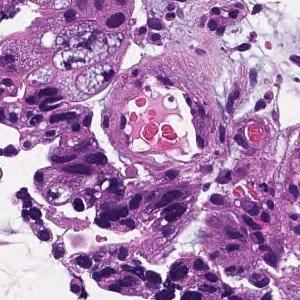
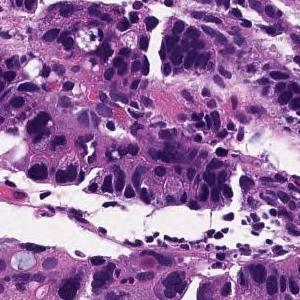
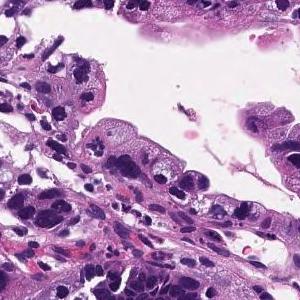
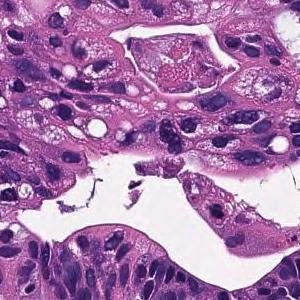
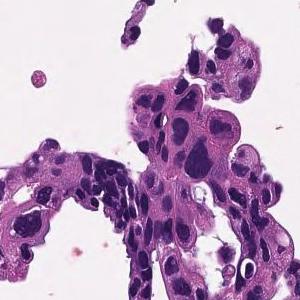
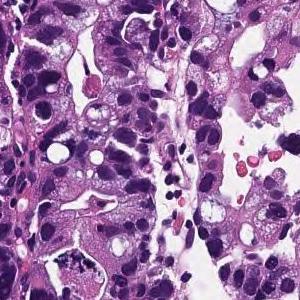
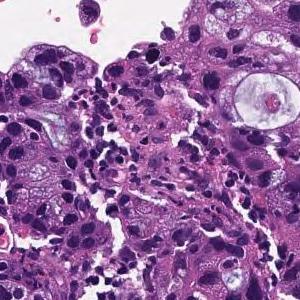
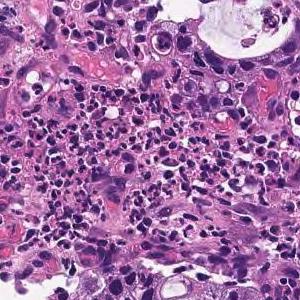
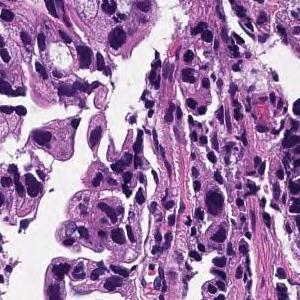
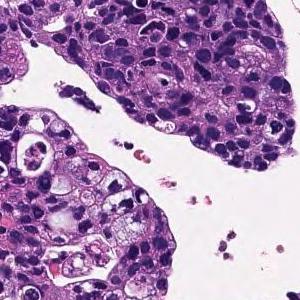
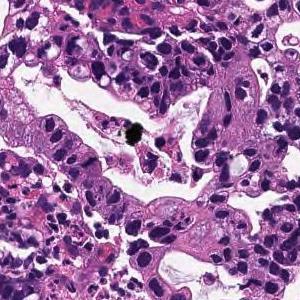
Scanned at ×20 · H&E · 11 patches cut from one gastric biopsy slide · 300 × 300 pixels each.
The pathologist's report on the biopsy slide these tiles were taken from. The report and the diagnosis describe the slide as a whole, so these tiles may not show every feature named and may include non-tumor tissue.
In the superficial epithelium, tumor tissue that invades by forming medium-sized to small, irregular ducts is observed. moderately differentiated tubular adenocarcinoma.
